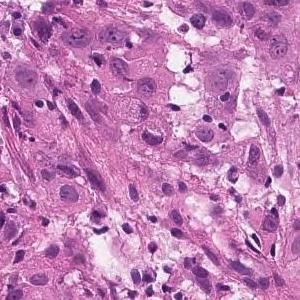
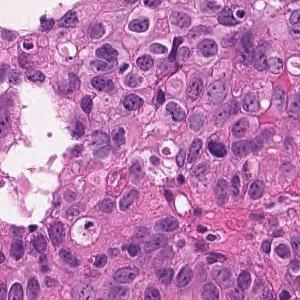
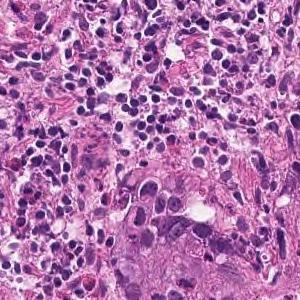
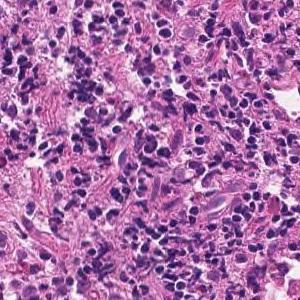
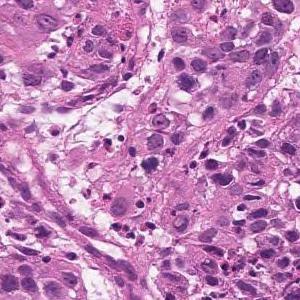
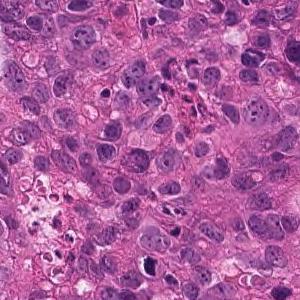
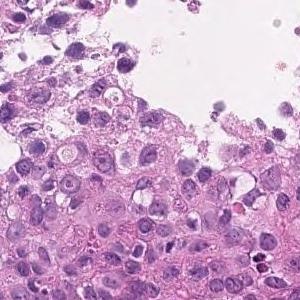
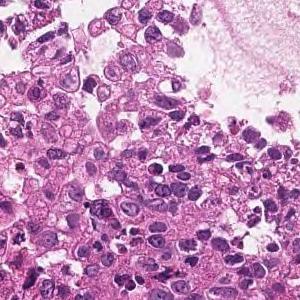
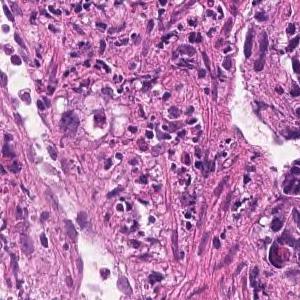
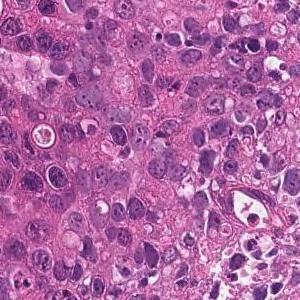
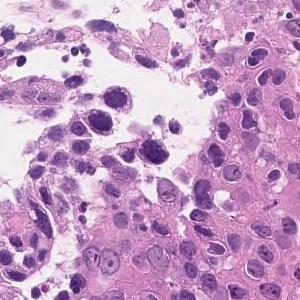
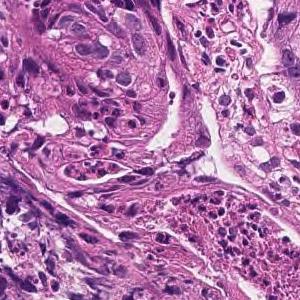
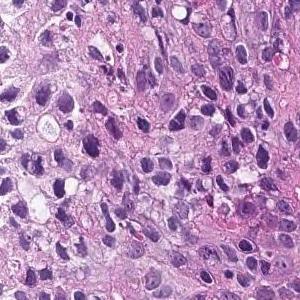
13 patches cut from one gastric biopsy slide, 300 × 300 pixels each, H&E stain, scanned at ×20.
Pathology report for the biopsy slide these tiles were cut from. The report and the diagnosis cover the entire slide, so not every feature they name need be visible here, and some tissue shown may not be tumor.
The superficial epithelium shows a large sheet-like shape, and some tumor tissue infiltrates with small irregular ducts. Poorly differentiated adenocarcinoma, solid-type
Tumor subtype: poorly differentiated adenocarcinoma, solid type (Japanese Classification of Gastric Carcinoma). The WHO 2019 equivalent is tubular adenocarcinoma, poorly differentiated.
